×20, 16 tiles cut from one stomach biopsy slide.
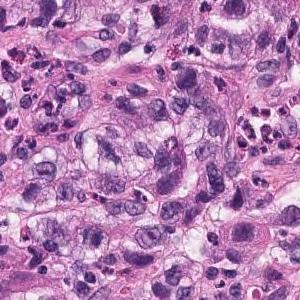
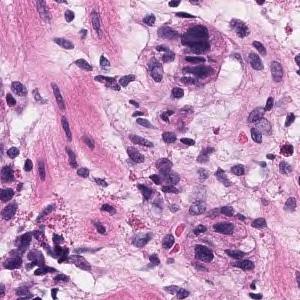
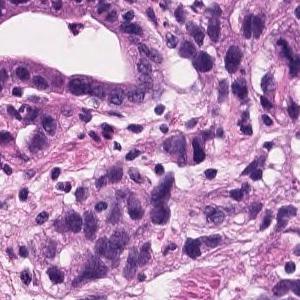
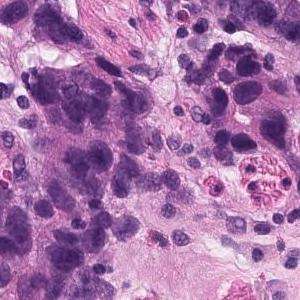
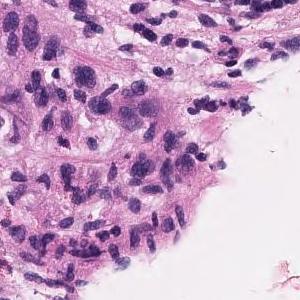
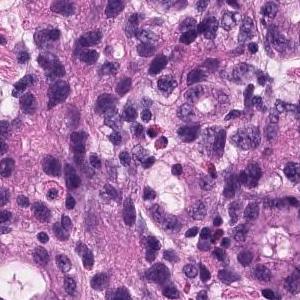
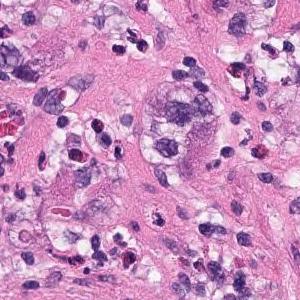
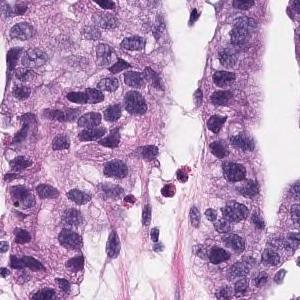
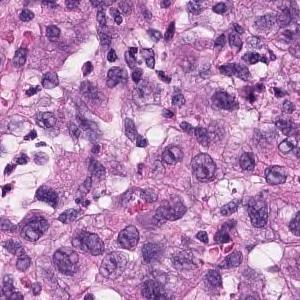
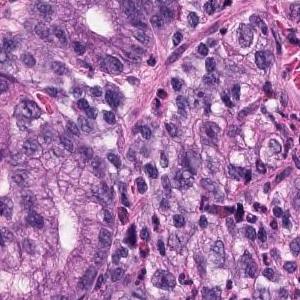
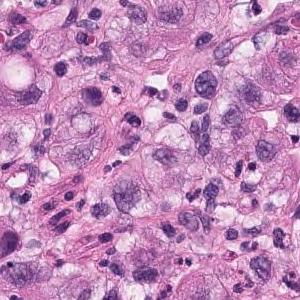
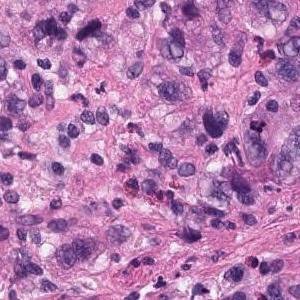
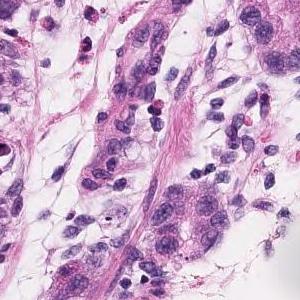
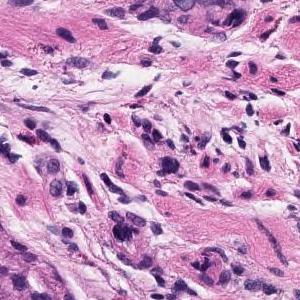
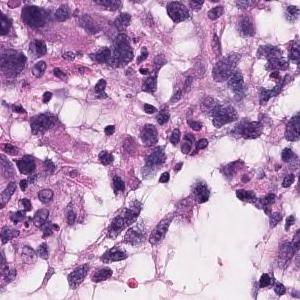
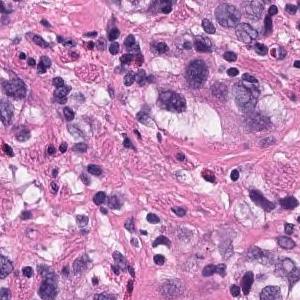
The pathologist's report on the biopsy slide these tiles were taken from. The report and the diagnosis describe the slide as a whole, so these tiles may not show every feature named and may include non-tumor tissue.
Atypical l cells with atypical nuclei forming diffuse or small irregular atypical ducts and growing. Moderately to poorly differentiated adenocarcinoma (poorly differentiated adenocarcinoma, solid type, moderately differentiated tubular adenocarcinoma)
Histologic type: Moderately to poorly differentiated adenocarcinoma.
The solid type named here is a Japanese Classification of Gastric Carcinoma category; WHO 2019 calls it tubular adenocarcinoma, poorly differentiated.
